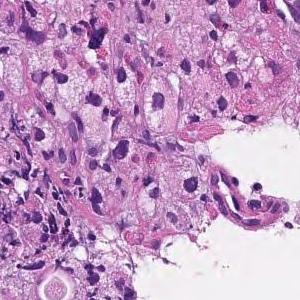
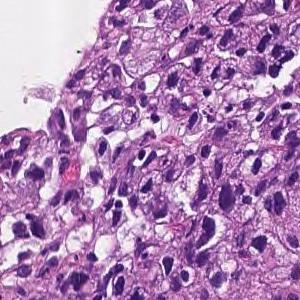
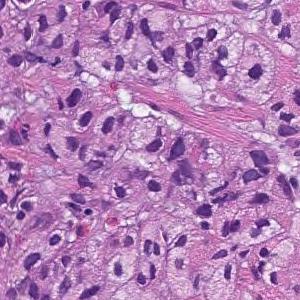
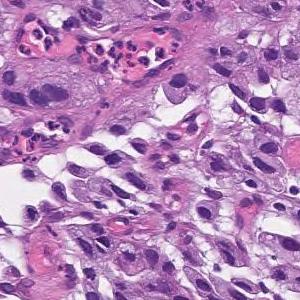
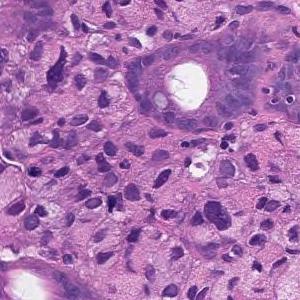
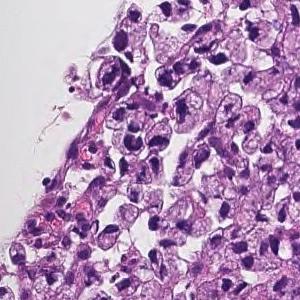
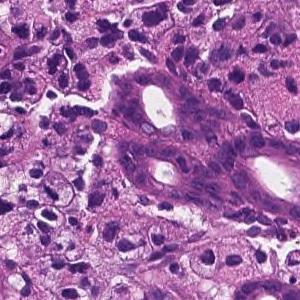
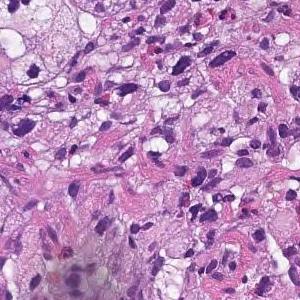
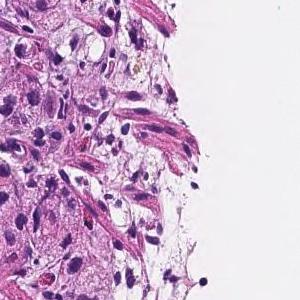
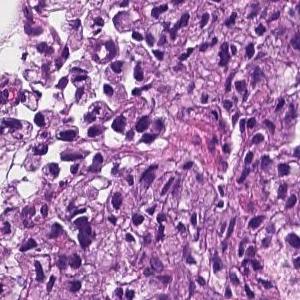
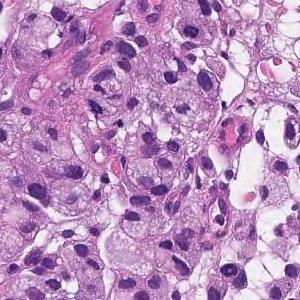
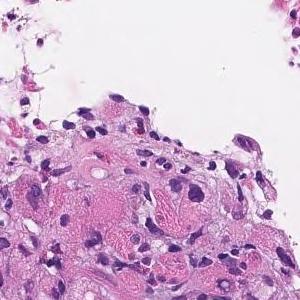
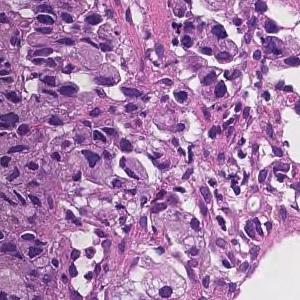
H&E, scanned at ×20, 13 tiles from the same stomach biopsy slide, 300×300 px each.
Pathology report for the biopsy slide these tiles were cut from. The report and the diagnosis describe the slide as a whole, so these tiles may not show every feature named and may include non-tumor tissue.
In the lamina propria, a tumor tissue consisting of signet ring cell type atypical epithelial cells infiltrating is observed. Signet ring cell carcinoma.
